×20 · 11 tiles from the same stomach biopsy slide.
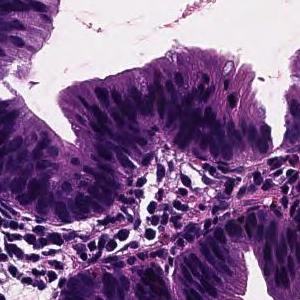
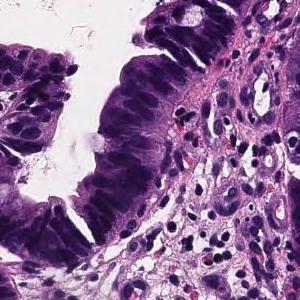
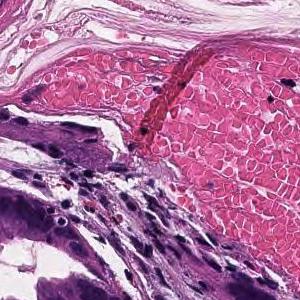
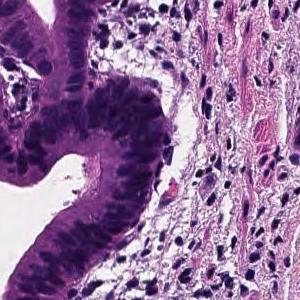
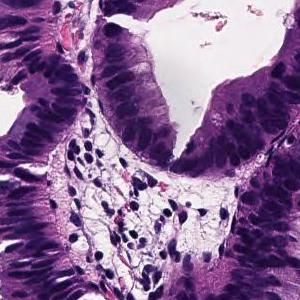
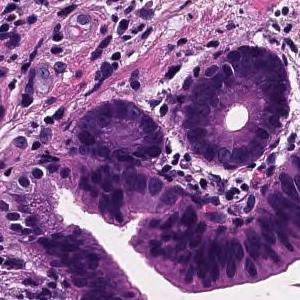
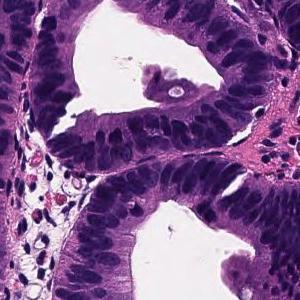
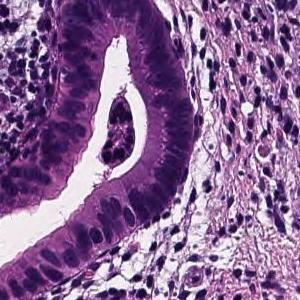
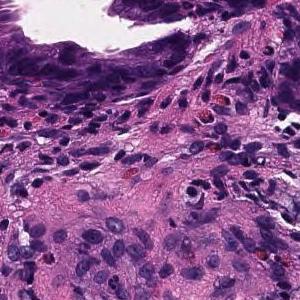
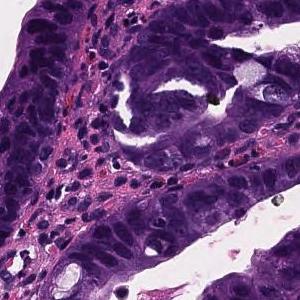
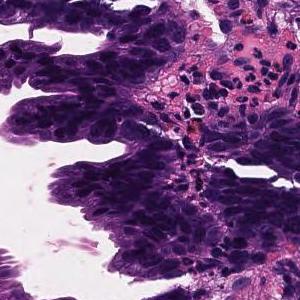
The pathologist's report on the biopsy slide these tiles were taken from. What the report and the diagnosis say applies to the whole slide; these tiles may miss some of the features named and may include tissue that is not tumor.
Tumor cells are large, highly columnar, large club-shaped nuclei, and are associated with chromatin aggregation. Papillary adenocarcinoma.
